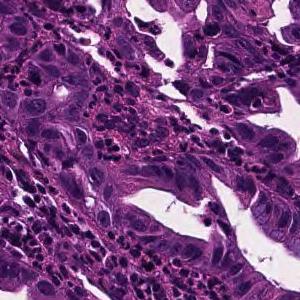
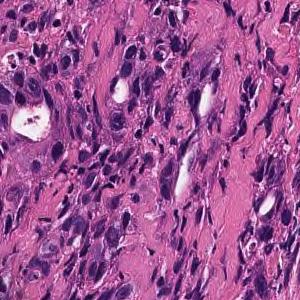
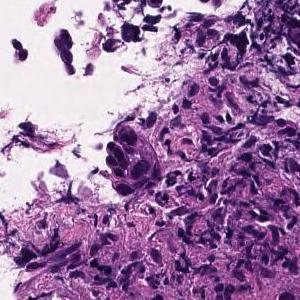
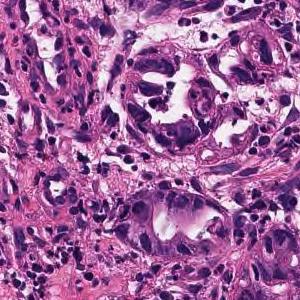
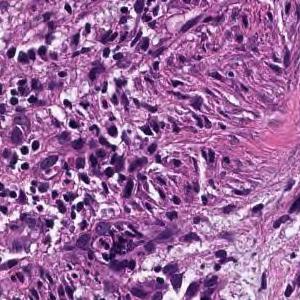
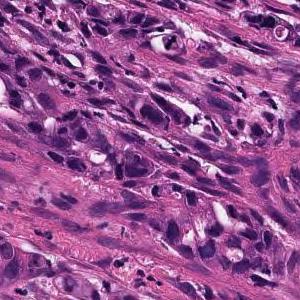
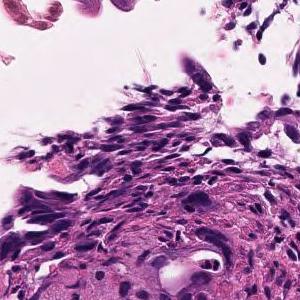
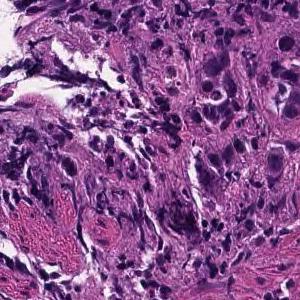
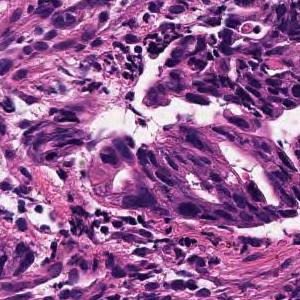
9 patches cut from one gastric biopsy slide · 300×300 px each · H&E stain.
The pathologist's report on the biopsy slide these tiles were taken from. What the report and the diagnosis say applies to the whole slide; these tiles may miss some of the features named and may include tissue that is not tumor.
In the superficial epithelium, medium-sized to small irregular glandular ducts are formed, and in some cases, the glandular ducts are fused or small cord-like infiltrating tumor tissue is observed. moderately differentiated tubular adenocarcinoma
